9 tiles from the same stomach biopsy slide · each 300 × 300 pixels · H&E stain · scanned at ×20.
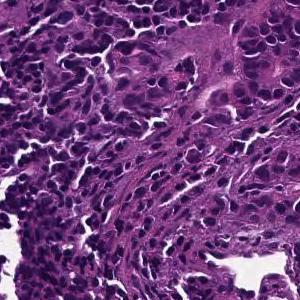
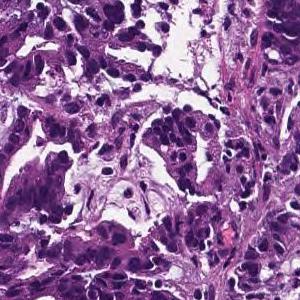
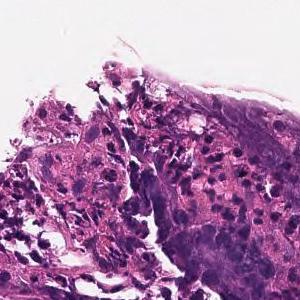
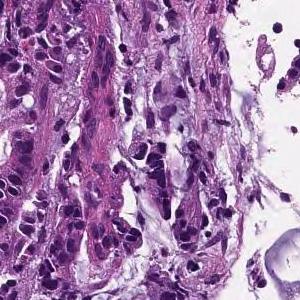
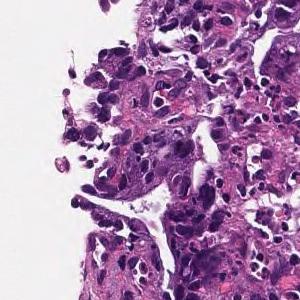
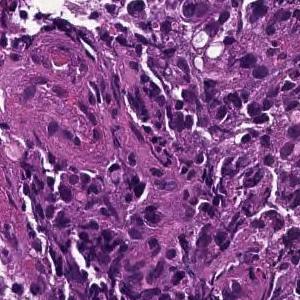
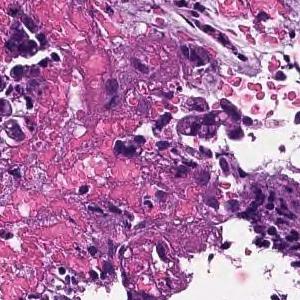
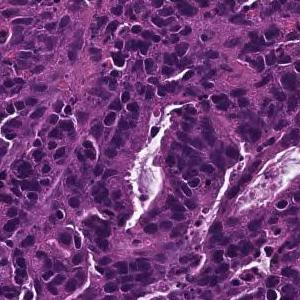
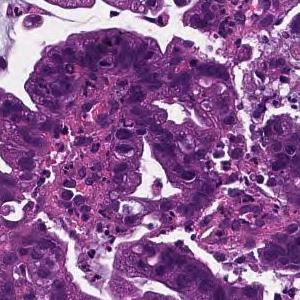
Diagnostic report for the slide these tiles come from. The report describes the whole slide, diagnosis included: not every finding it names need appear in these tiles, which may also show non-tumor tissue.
On the superficial epithelium, tumor tissue consisting of large irregular glandular ducts partially fused and infiltrated is observed. Well to moderately differentiated tubular adenocarcinoma (well differentiated tubular adenocarcinoma, moderately differentiated tubular adenocarcinoma)
Histological subtype: Well to moderately differentiated tubular adenocarcinoma.
